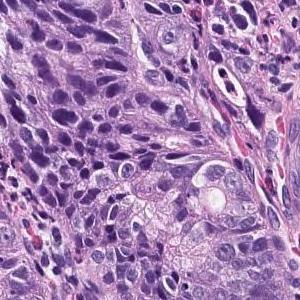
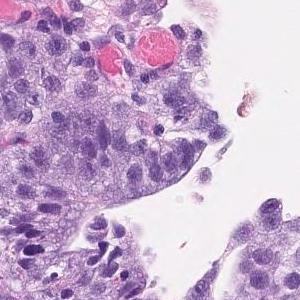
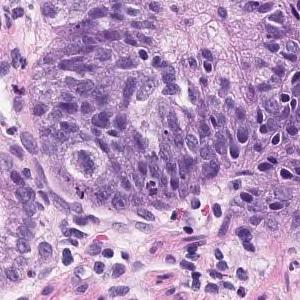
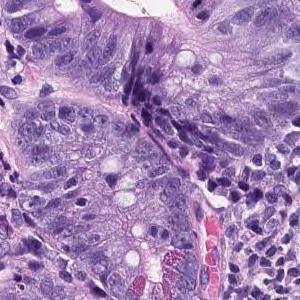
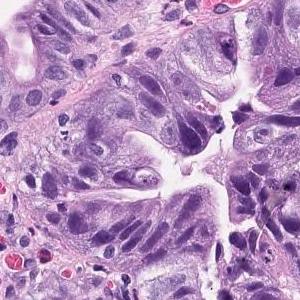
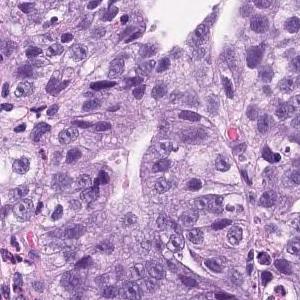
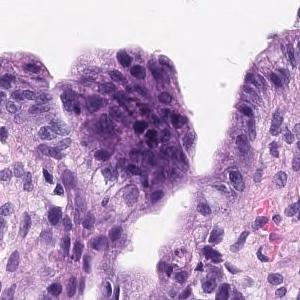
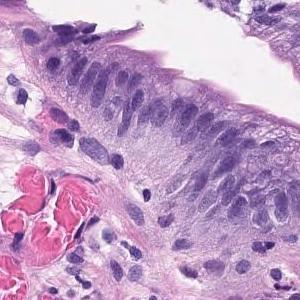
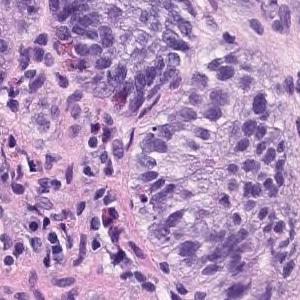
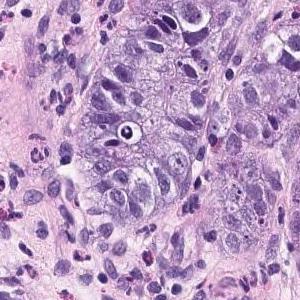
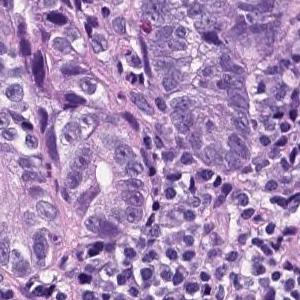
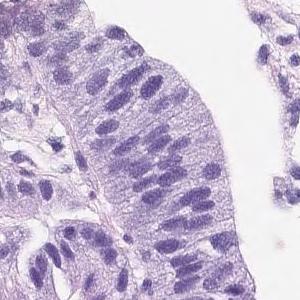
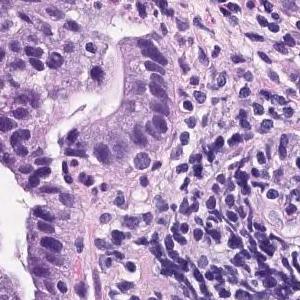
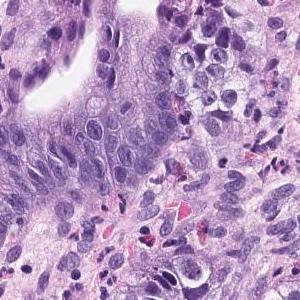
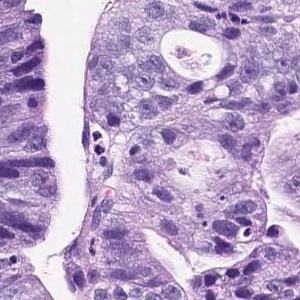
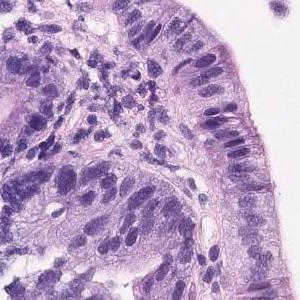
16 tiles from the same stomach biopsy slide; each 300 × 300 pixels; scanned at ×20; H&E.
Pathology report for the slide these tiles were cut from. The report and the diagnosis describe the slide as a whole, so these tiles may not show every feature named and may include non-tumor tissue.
Atypical cells with atypical nuclei forming irregular atypical ducts and growing in a conformative manner. Well differentiated tubular adenocarcinoma
